H&E · 20× magnification · 6 tiles from the same stomach biopsy slide · 300 × 300 pixels each.
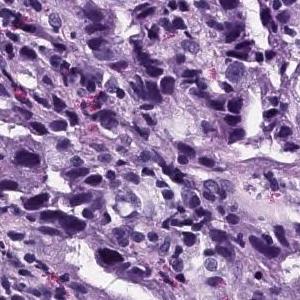
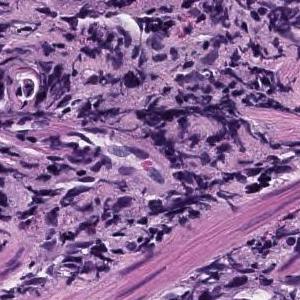
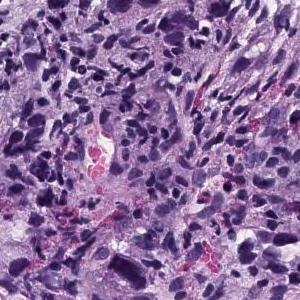
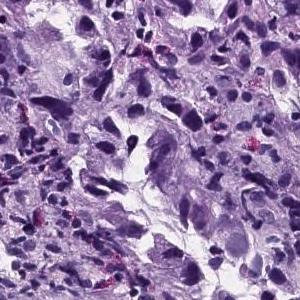
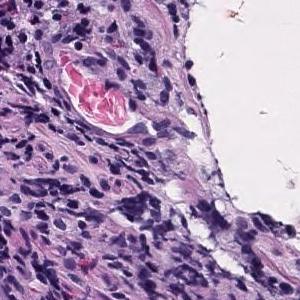
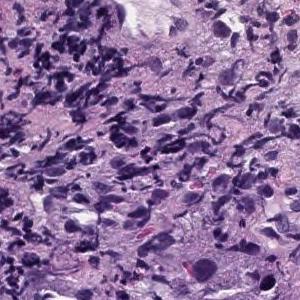
Pathology report for the biopsy slide these tiles were cut from. The report describes the whole slide, diagnosis included: not every finding it names need appear in these tiles, which may also show non-tumor tissue.
Atypical epithelial cells infiltrating and proliferating while forming solid or cord-like fused glandular cavities of different sizes is observed. moderately differentiated tubular adenocarcinoma, poorly differentiated adenocarcinoma.
Tumor subtype: moderately to poorly differentiated adenocarcinoma.
